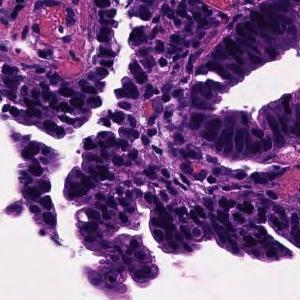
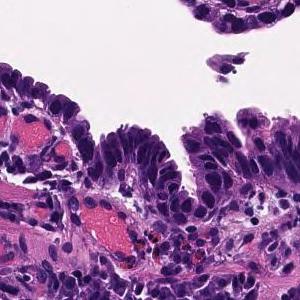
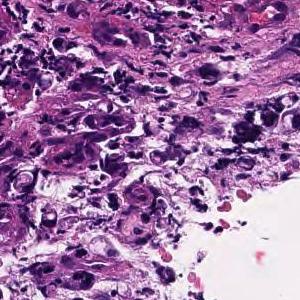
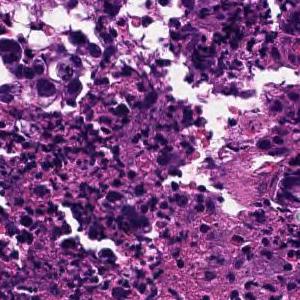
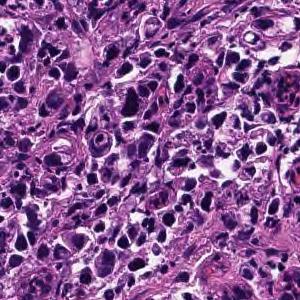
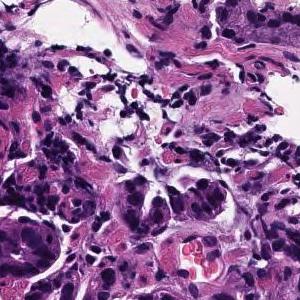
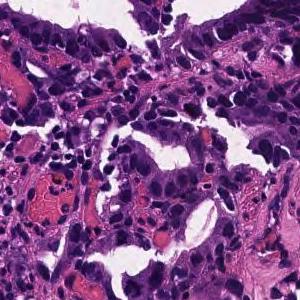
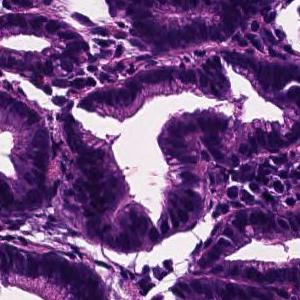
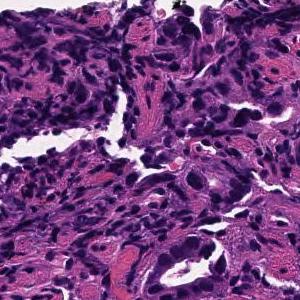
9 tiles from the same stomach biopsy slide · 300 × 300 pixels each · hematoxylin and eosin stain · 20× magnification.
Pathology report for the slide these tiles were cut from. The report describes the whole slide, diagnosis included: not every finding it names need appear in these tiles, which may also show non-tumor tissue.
On the superficial epithelium, tumor tissue that infiltrates by forming medium-sized papillary or small irregular ducts is observed. Papillary adenocarcinoma
